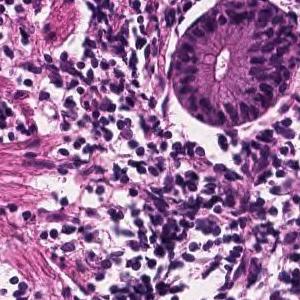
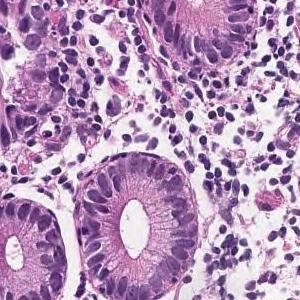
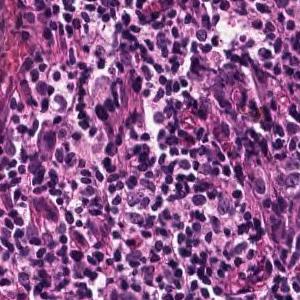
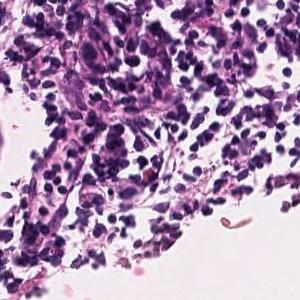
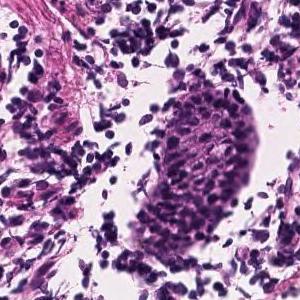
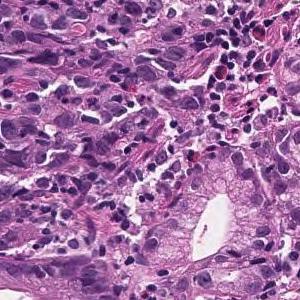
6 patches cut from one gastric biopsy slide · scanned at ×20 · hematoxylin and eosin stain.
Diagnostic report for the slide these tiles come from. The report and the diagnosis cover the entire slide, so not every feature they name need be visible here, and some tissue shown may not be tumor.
Tumor tissue consisting of medium-sized, cord-like or irregular glandular infiltration is observed in the superficial epithelium. Poorly differentiated adenocarcinoma, non-solid type or moderately differentiated tubular adenocarcinoma
Subtype: Moderately to poorly differentiated adenocarcinoma.
"Non-solid type" is a category of the Japanese Classification of Gastric Carcinoma.
